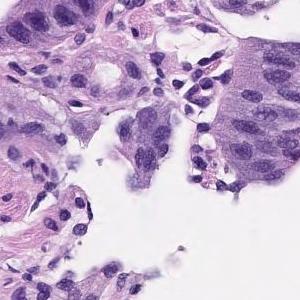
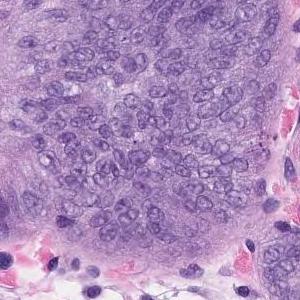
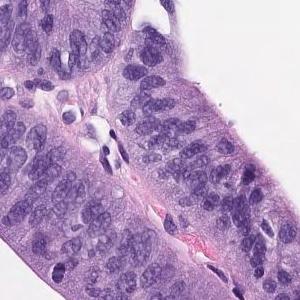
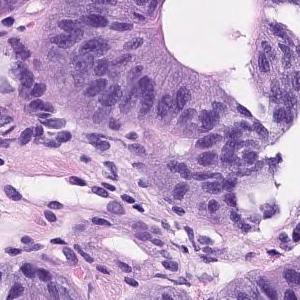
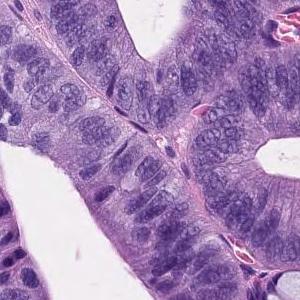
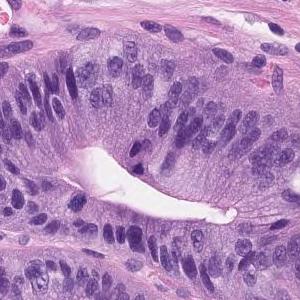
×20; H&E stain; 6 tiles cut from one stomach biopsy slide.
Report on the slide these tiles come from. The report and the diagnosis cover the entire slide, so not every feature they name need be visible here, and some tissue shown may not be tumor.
On the superficial epithelium, tumor tissue consisting of images of atypical ducts of different sizes partially fused and densely proliferating is observed. Well differentiated tubular adenocarcinoma
